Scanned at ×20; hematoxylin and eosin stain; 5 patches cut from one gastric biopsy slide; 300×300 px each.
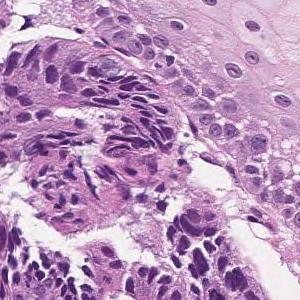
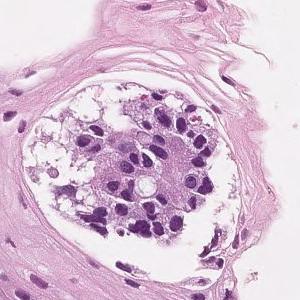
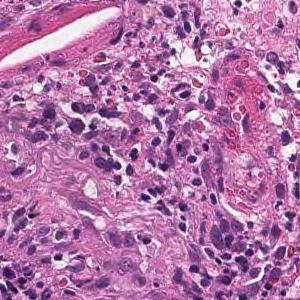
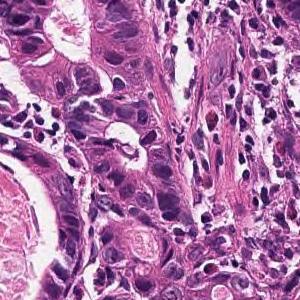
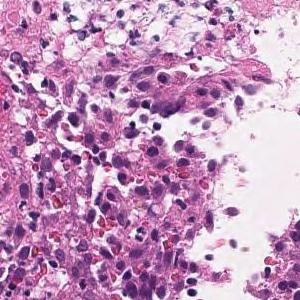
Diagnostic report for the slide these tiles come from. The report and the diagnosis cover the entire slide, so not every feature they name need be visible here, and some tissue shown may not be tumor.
In the superficial epithelium, tumor tissue that invades by forming medium-sized to small, irregular ducts is observed. Well differentiated tubular adenocarcinoma.
